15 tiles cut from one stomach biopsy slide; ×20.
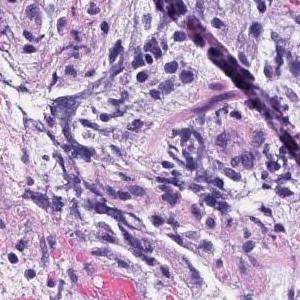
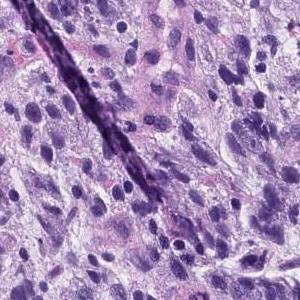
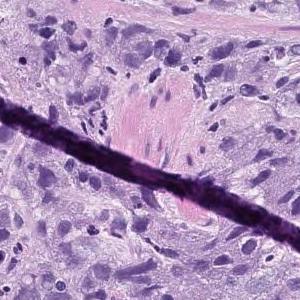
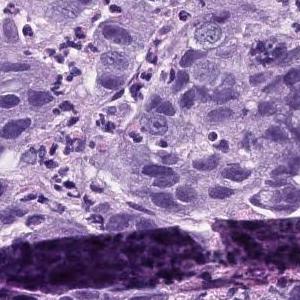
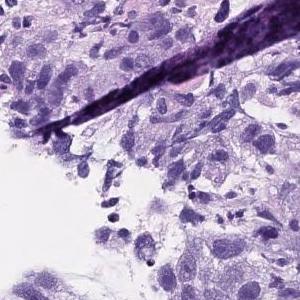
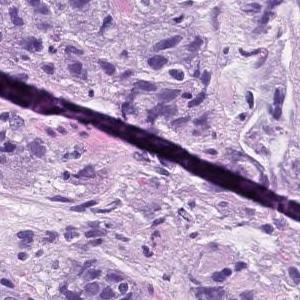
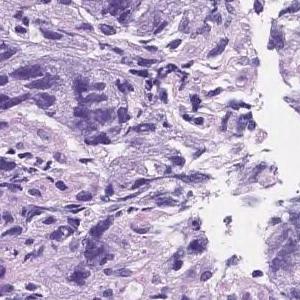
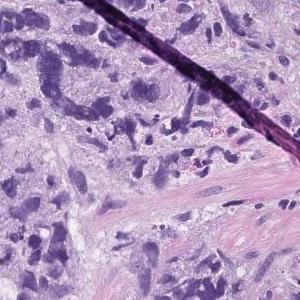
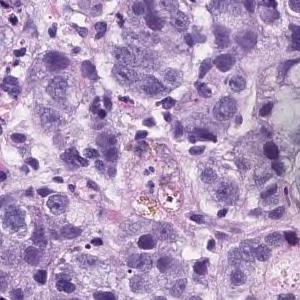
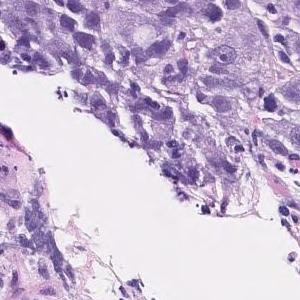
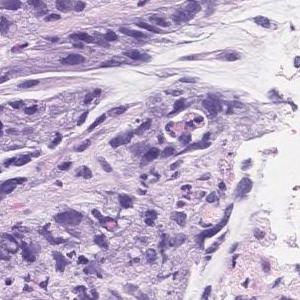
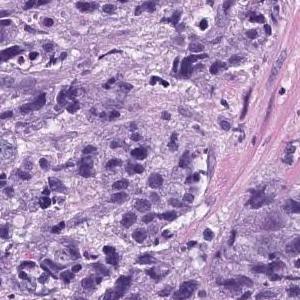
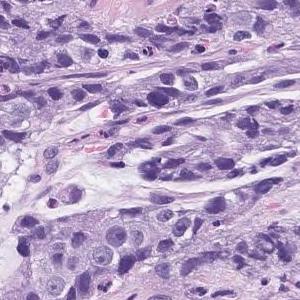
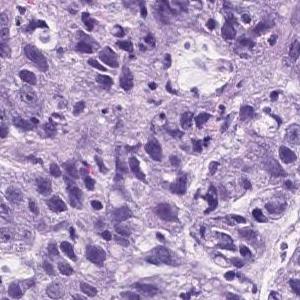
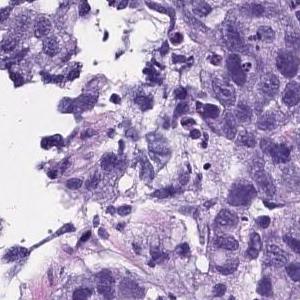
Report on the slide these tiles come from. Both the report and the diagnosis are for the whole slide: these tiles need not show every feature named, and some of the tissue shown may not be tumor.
Atypical l cells with atypical nuclei forming solid vesicles or small irregular atypical ducts that proliferate in a complex manner. poorly differentiated adenocarcinoma, solid type, moderately differentiated tubular adenocarcinoma
The term "solid type" comes from the Japanese Classification of Gastric Carcinoma; the WHO 2019 equivalent is tubular adenocarcinoma, poorly differentiated.
